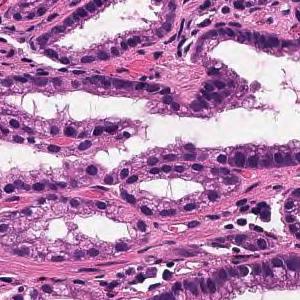
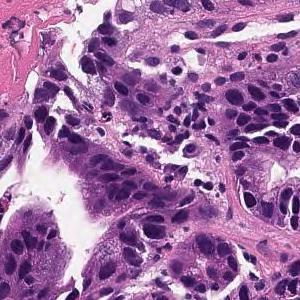
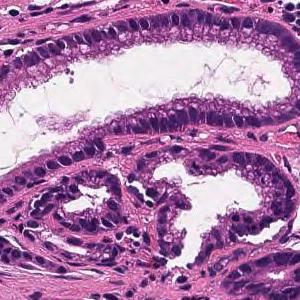
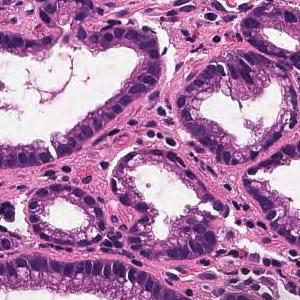
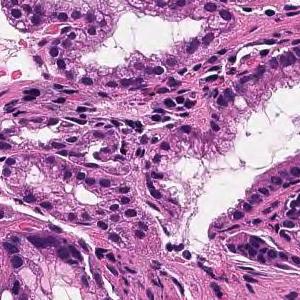
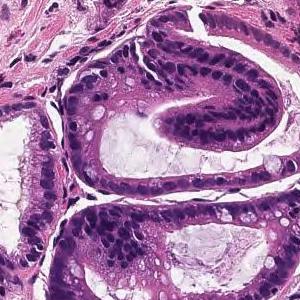
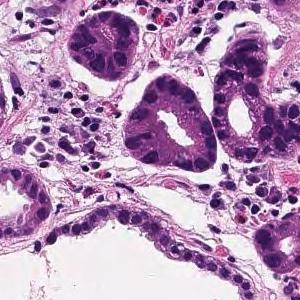
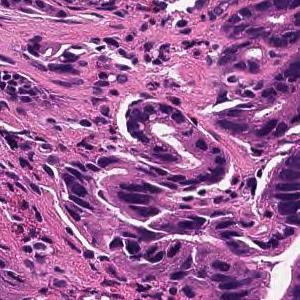
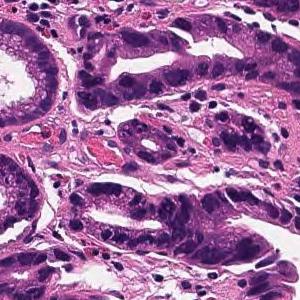
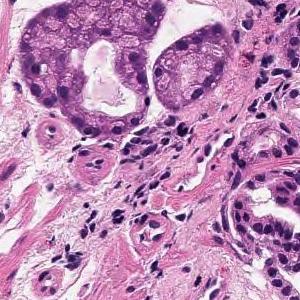
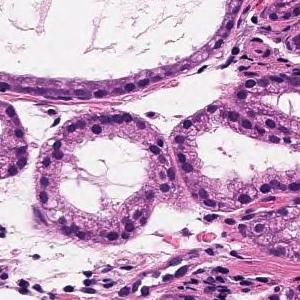
11 tiles cut from one stomach biopsy slide; 300×300 px each; ×20; H&E stain.
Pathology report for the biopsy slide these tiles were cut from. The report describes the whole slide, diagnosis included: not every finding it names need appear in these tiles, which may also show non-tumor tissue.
On the superficial epithelium, tumor tissue consisting of large, irregular glandular ducts partially fused and infiltrated is observed. Well to moderately differentiated tubular adenocarcinoma (well differentiated tubular adenocarcinoma, moderately differentiated tubular adenocarcinoma)
Histological subtype: Well to moderately differentiated tubular adenocarcinoma.
